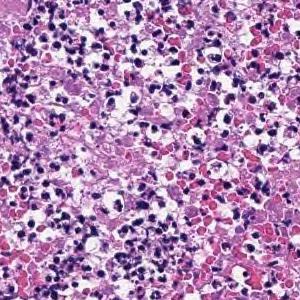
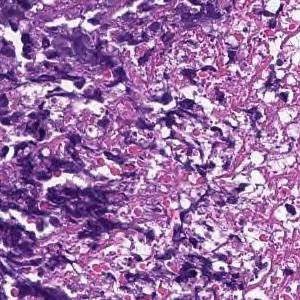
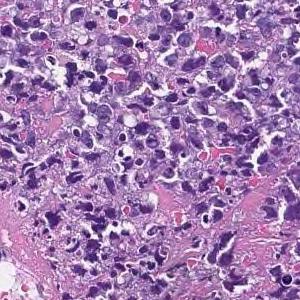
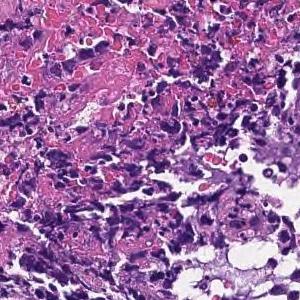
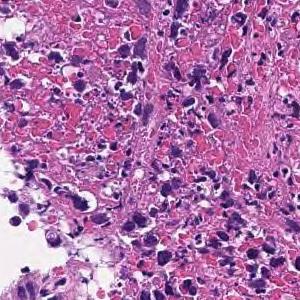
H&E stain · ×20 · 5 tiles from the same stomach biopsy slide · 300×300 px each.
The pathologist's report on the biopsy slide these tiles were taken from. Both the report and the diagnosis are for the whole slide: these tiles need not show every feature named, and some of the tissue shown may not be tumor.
Most are composed of coagulative necrotic tissue, but some show a large sheet-like shape, and some show tumor tissue infiltrating with a small cord-like structure. Poorly differentiated adenocarcinoma, solid-type
Subtype: Poorly differentiated adenocarcinoma, solid type (Japanese Classification of Gastric Carcinoma). The WHO 2019 equivalent is tubular adenocarcinoma, poorly differentiated.
